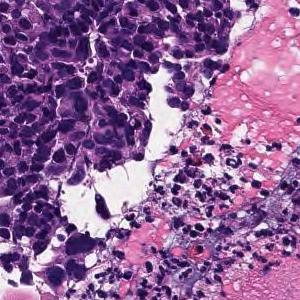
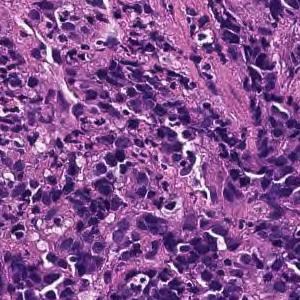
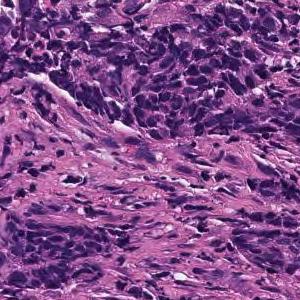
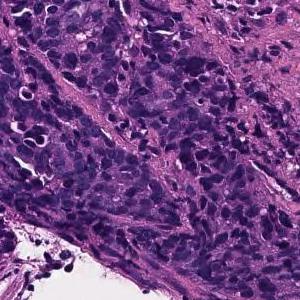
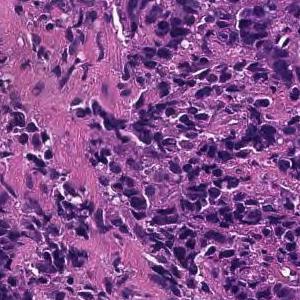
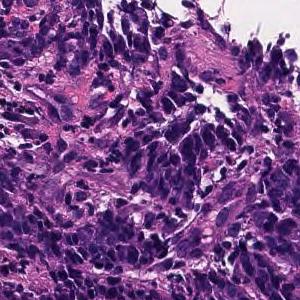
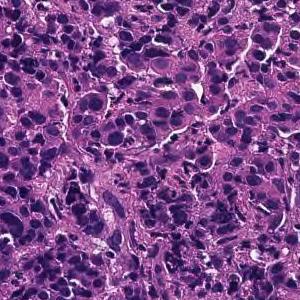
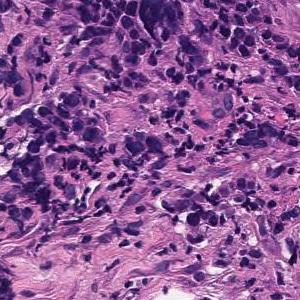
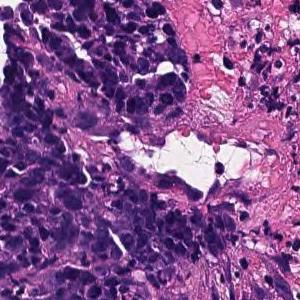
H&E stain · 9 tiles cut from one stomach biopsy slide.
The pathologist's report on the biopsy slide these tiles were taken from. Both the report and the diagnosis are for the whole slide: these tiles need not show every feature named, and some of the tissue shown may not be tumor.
Tumor tissue consisting of cord-like or small, irregular glandular ducts fused and infiltrated is observed in the superficial epithelium. Poorly differentiated adenocarcinoma, non-solid type
The non-solid type named here is a Japanese Classification of Gastric Carcinoma category.
